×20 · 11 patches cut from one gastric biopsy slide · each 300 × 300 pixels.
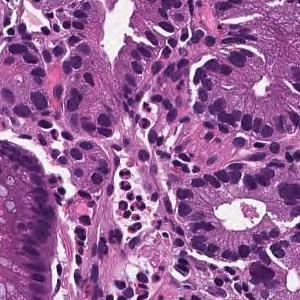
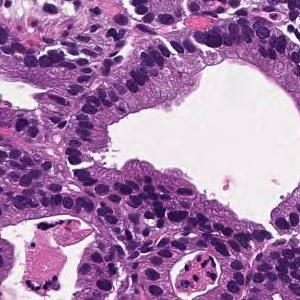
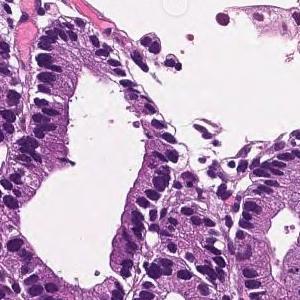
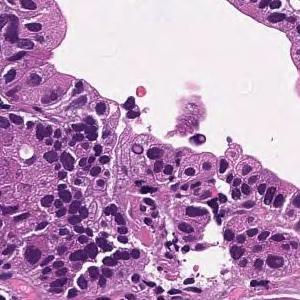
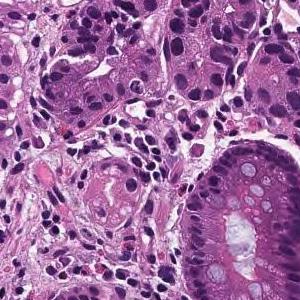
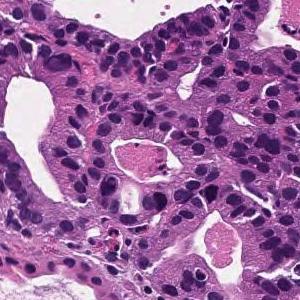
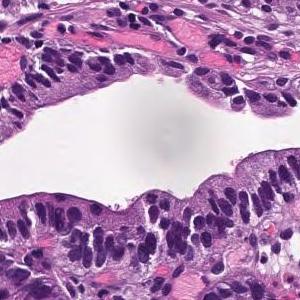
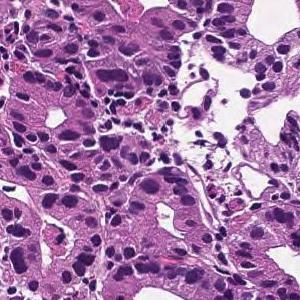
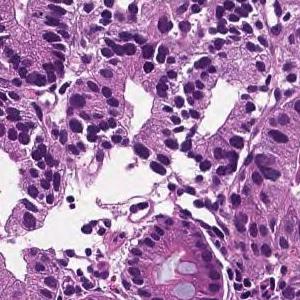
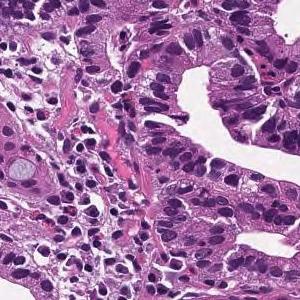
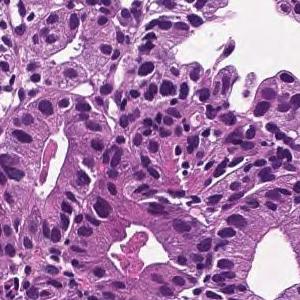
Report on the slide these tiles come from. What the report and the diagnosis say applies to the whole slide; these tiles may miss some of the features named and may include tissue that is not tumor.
From the superficial epithelium to the muscularis mucosae, tumor tissue consisting of medium-sized and irregular glandular ducts infiltrating is observed. Well differentiated tubular adenocarcinoma
